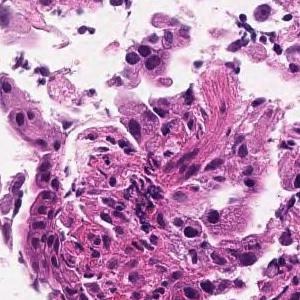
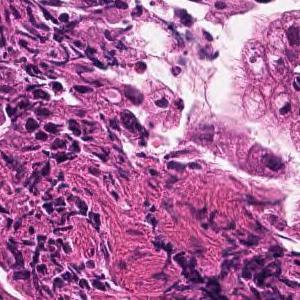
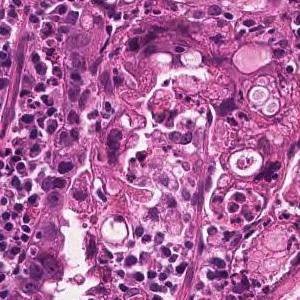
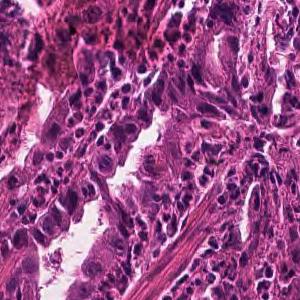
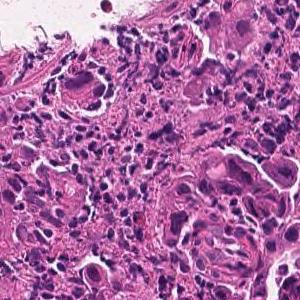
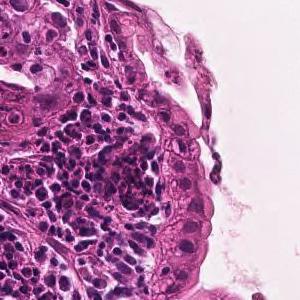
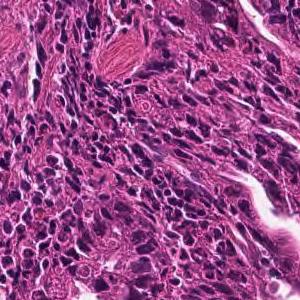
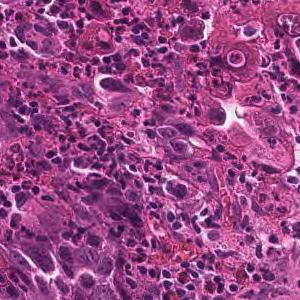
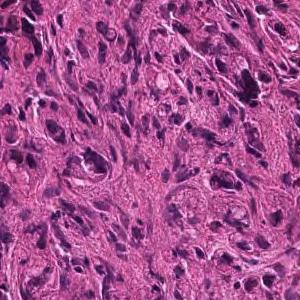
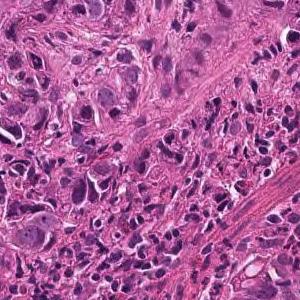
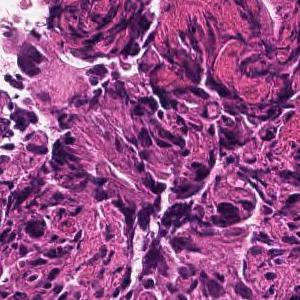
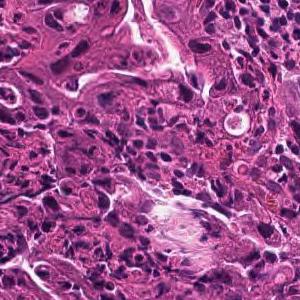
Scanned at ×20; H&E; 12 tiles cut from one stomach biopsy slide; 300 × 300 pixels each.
Pathology report for the slide these tiles were cut from. The findings and the diagnosis refer to the entire slide; these tiles show only part of it, possibly with non-tumor tissue, and may not show every feature named.
Medium to small, irregular glandular ducts are formed in the superficial epithelium, and in some cases, the glandular ducts are fused to show solid alveolar lesions and infiltrating tumor tissue is observed. Moderately to poorly differentiated adenocarcinoma.
